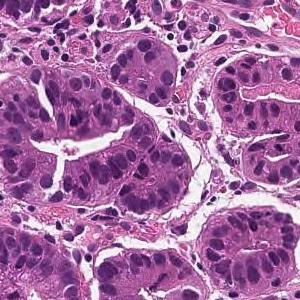
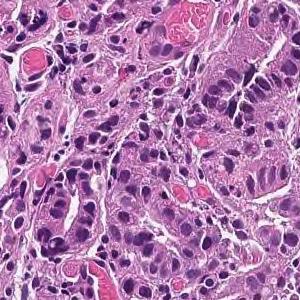
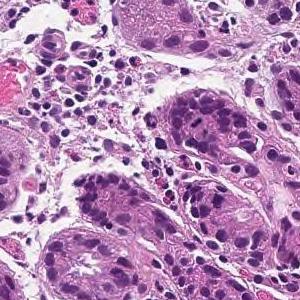
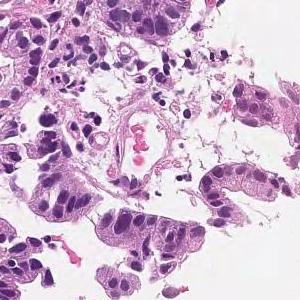
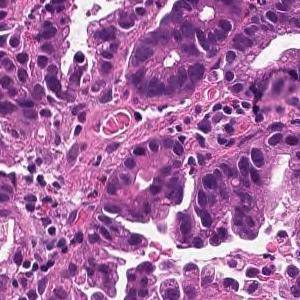
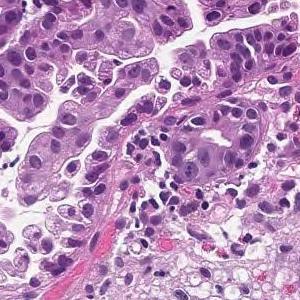
6 tiles cut from one stomach biopsy slide.
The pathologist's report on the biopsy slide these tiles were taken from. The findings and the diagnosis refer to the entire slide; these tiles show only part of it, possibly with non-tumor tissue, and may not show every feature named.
On the superficial epithelium, tumor tissue consisting of large irregular glandular ducts partially fused and infiltrated is observed. Well to moderately differentiated tubular adenocarcinoma (well differentiated tubular adenocarcinoma, moderately differentiated tubular adenocarcinoma)
Histologic type: Well to moderately differentiated tubular adenocarcinoma.
